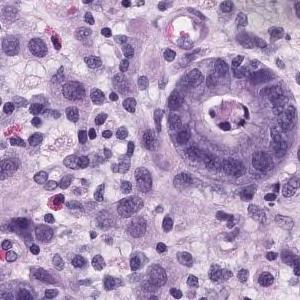
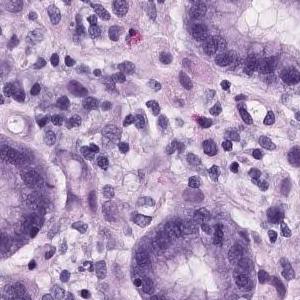
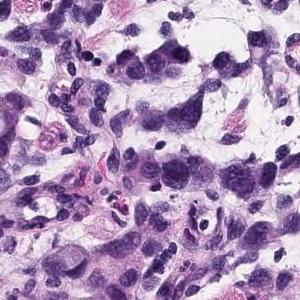
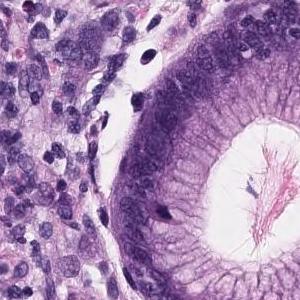
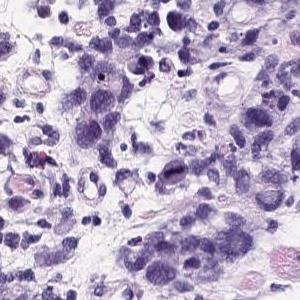
×20 · 5 tiles cut from one stomach biopsy slide.
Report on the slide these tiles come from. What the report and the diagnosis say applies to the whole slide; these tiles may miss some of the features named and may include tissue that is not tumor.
Group 5, Adenocarcinoma. Poorly differentiated adenocarcinoma, non-solid type
"Non-solid type" is a category of the Japanese Classification of Gastric Carcinoma.
